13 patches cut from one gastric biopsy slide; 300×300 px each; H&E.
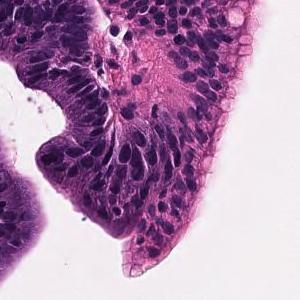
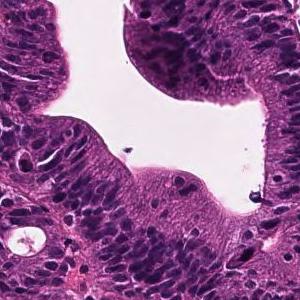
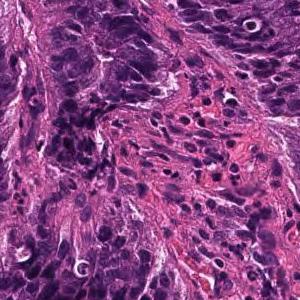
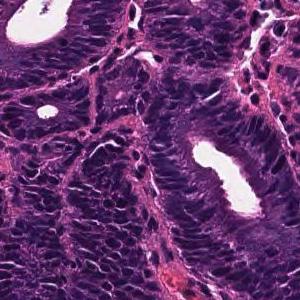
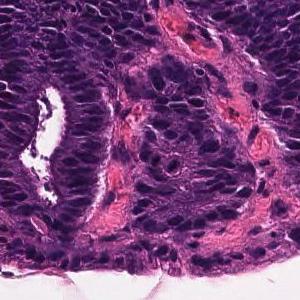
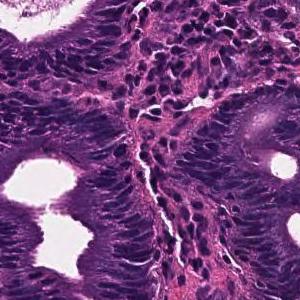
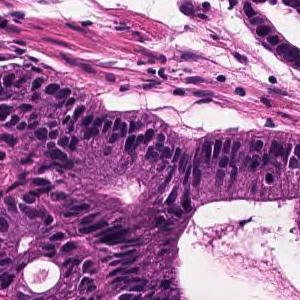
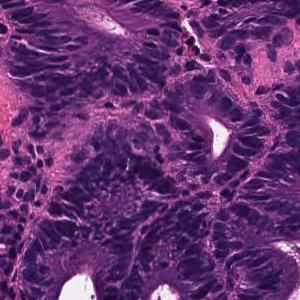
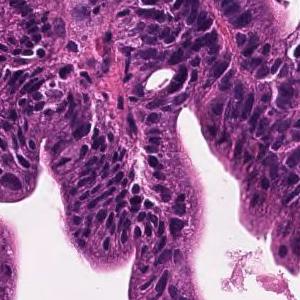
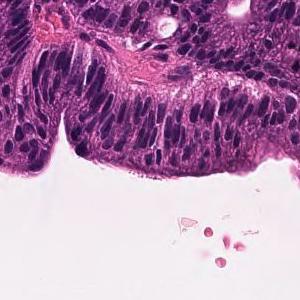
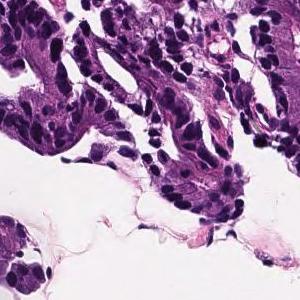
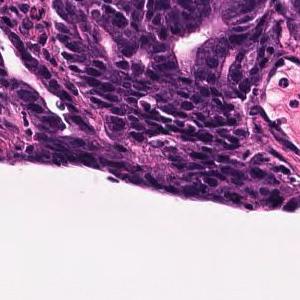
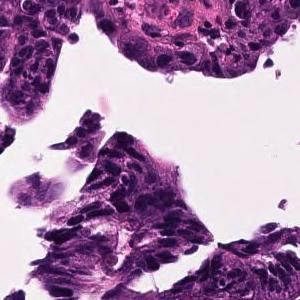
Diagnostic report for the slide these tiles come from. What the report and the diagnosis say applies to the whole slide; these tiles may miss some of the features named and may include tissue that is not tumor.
Tumor tissue that remains within the superficial epithelium and is infiltrated by large papillary or irregular ducts that fuse with each other is observed. Well differentiated tubular adenocarcinoma
